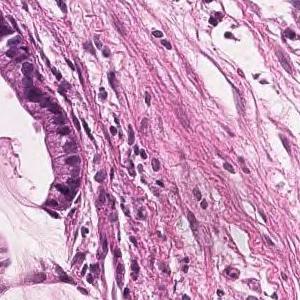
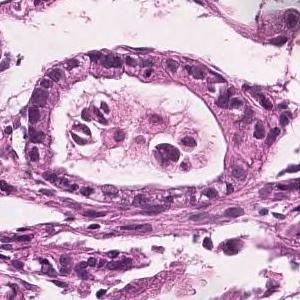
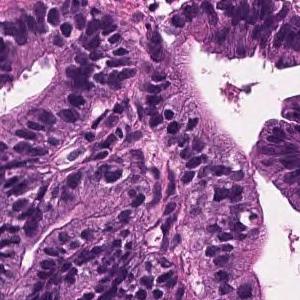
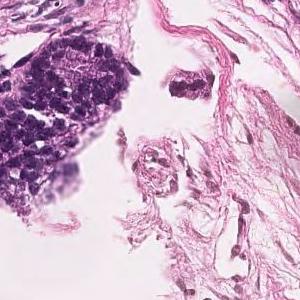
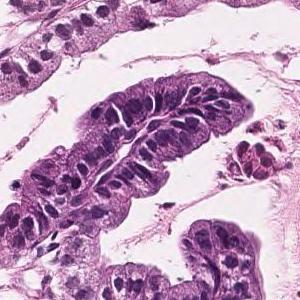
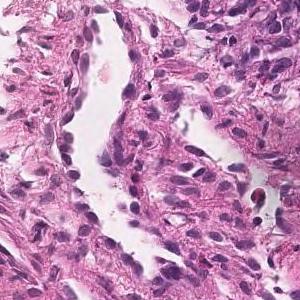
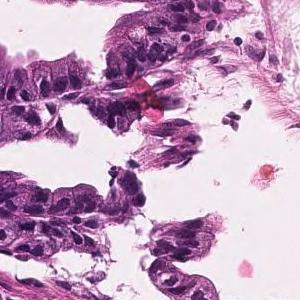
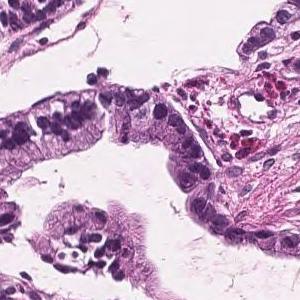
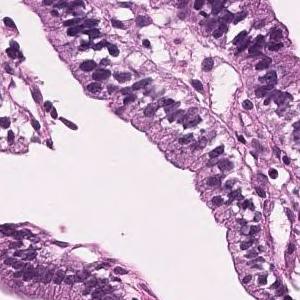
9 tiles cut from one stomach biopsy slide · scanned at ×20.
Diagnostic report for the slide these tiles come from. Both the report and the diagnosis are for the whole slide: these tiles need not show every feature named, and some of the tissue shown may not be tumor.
Tumor cells are large, highly columnar, large club-shaped nuclei, and are associated with chromatin aggregation. Papillary adenocarcinoma.
